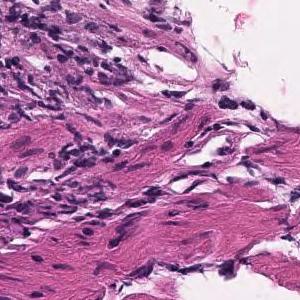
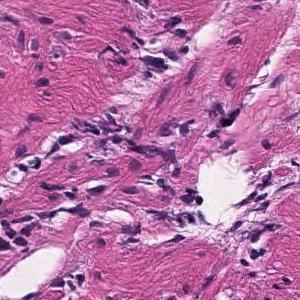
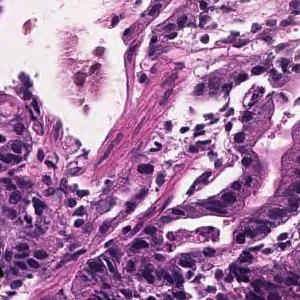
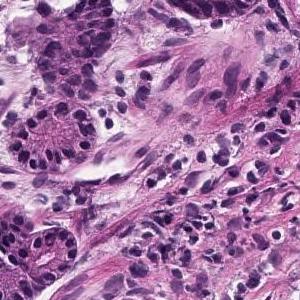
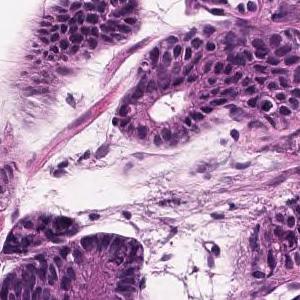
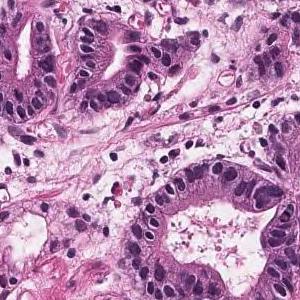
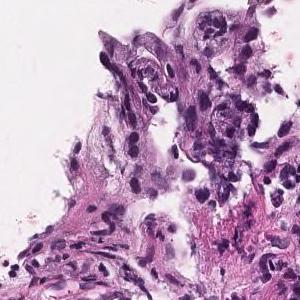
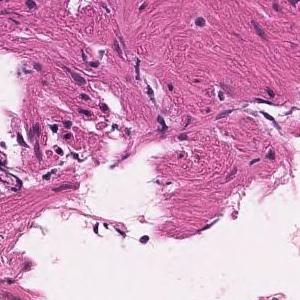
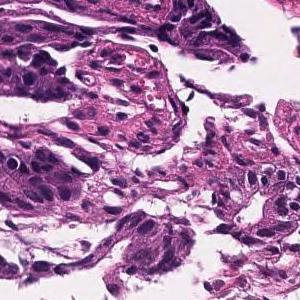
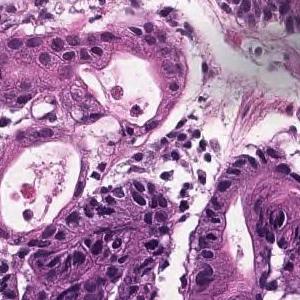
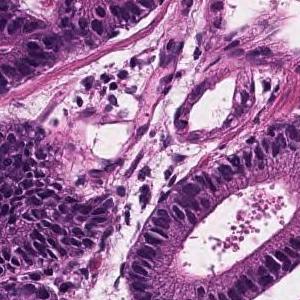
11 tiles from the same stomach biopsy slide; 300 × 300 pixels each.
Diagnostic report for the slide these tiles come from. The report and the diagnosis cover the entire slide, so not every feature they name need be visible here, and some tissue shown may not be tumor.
Tumor tissue with atypical epithelium showing irregular ductal or sieving ductal structure and proliferating is observed. Well to moderately differentiated tubular adenocarcinoma (well differentiated tubular adenocarcinoma-moderately differentiated tubular adenocarcinoma)
Histological subtype: Well to moderately differentiated tubular adenocarcinoma.
